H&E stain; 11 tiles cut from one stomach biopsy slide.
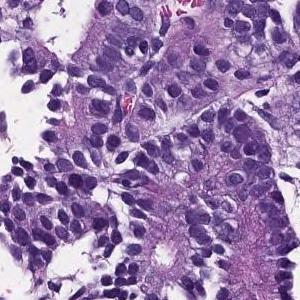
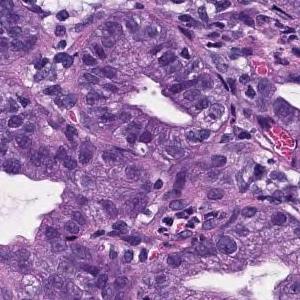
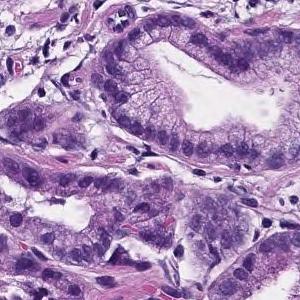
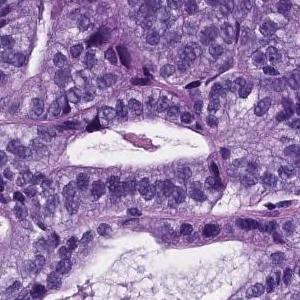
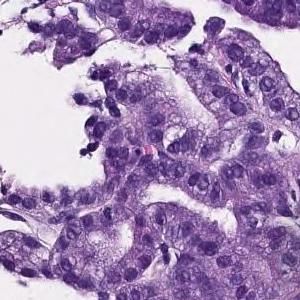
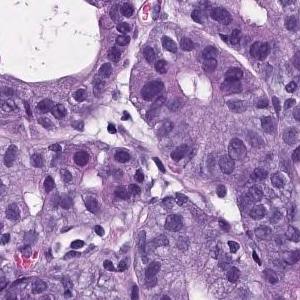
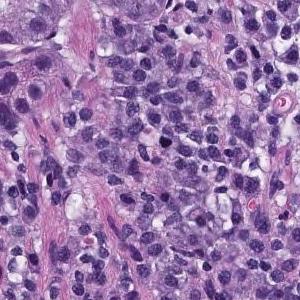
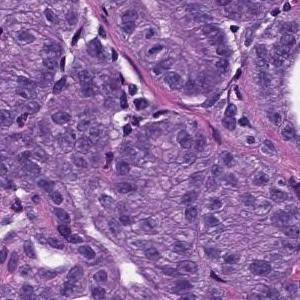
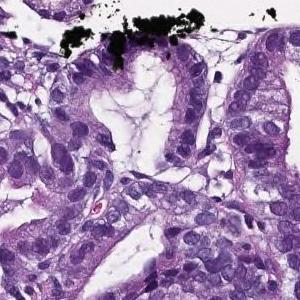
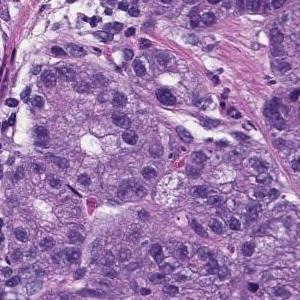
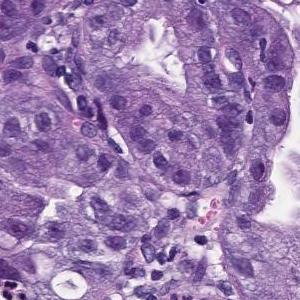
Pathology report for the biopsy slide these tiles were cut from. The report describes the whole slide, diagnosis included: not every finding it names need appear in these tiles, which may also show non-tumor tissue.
On the superficial epithelium, tumor tissue that infiltrates by forming medium-sized papillary or small irregular ducts is observed. Papillary adenocarcinoma
